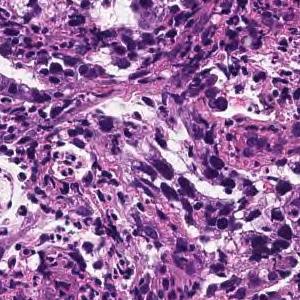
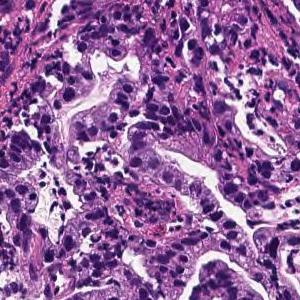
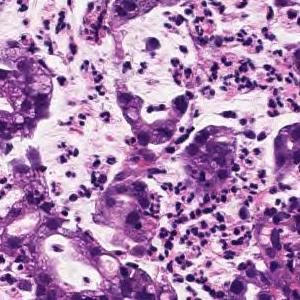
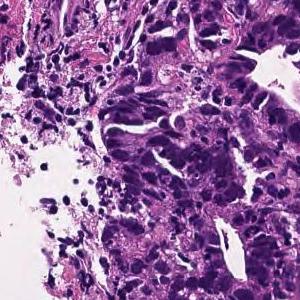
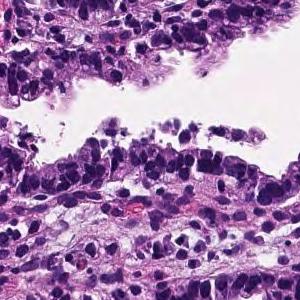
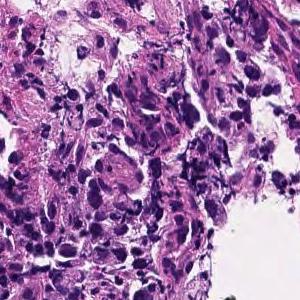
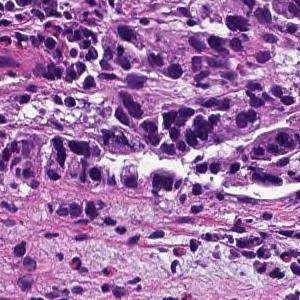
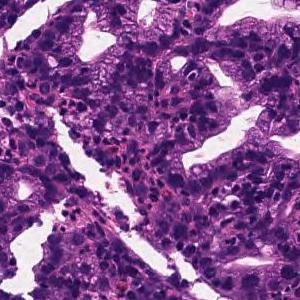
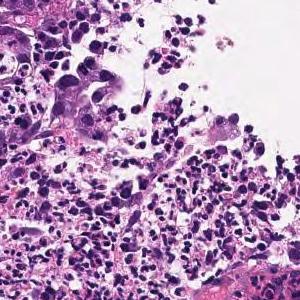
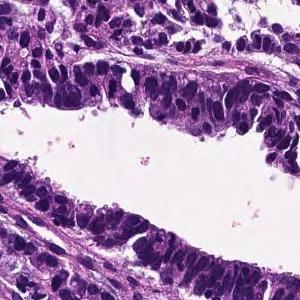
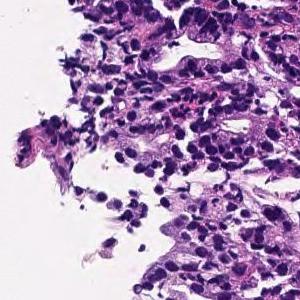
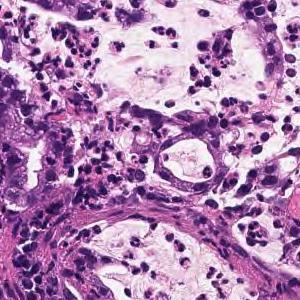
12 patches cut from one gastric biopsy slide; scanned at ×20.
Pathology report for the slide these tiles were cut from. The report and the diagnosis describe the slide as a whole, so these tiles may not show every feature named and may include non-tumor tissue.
On the superficial epithelium, tumor tissue consisting of large, irregular glandular ducts partially fused and infiltrated is observed. Well to moderately differentiated tubular adenocarcinoma (well differentiated tubular adenocarcinoma, moderately differentiated tubular adenocarcinoma)
Subtype: Well to moderately differentiated tubular adenocarcinoma.
